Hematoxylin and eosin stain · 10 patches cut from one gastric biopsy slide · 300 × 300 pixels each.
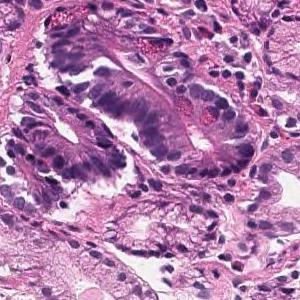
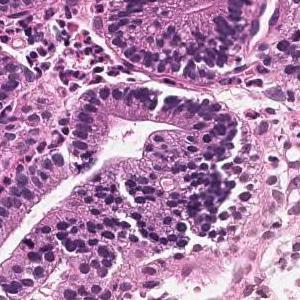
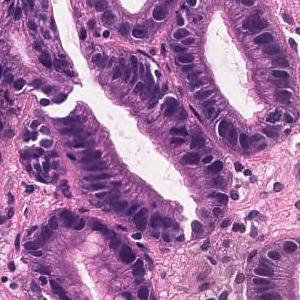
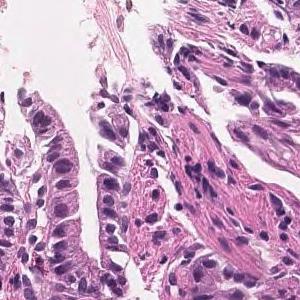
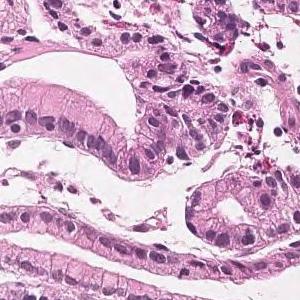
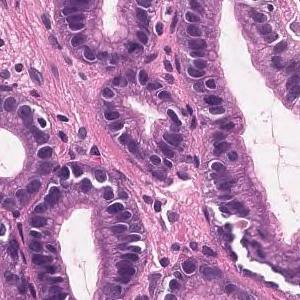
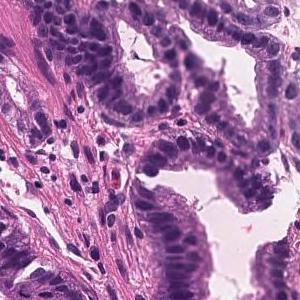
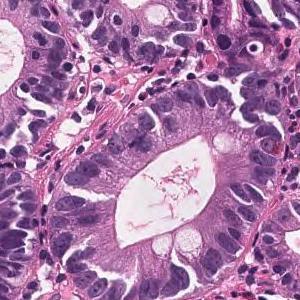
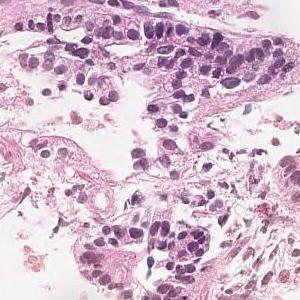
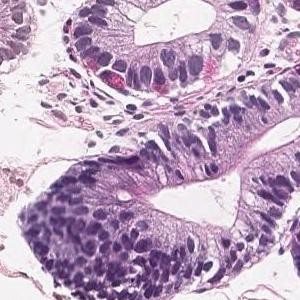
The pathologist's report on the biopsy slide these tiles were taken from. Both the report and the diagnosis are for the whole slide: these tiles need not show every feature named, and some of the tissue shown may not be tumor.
Tumor tissue in which medium to small irregular ducts infiltrate and proliferate in the submucosa can be seen in the epithelium. Well differentiated tubular adenocarcinoma
